×20, 12 image tiles from a single gastric biopsy slide.
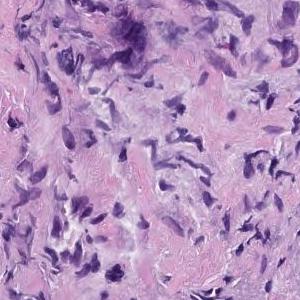
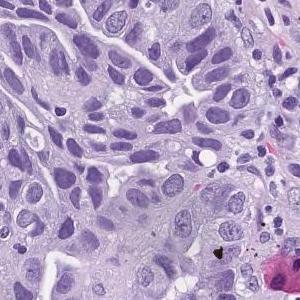
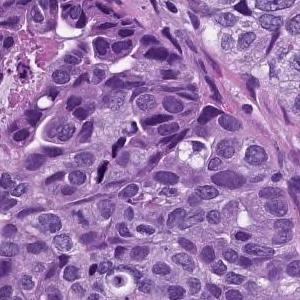
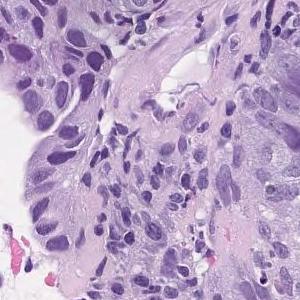
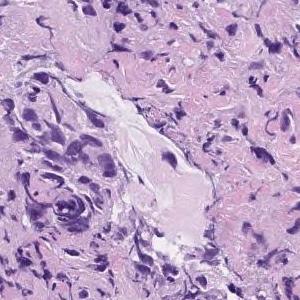
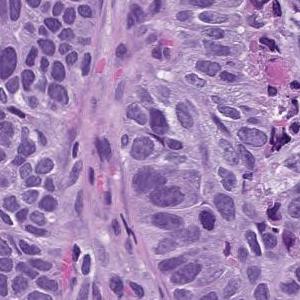
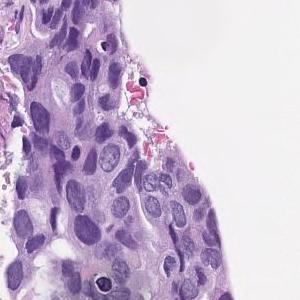
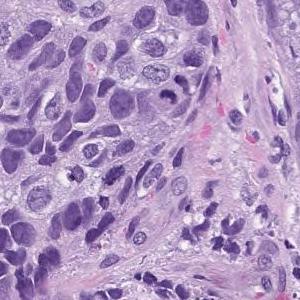
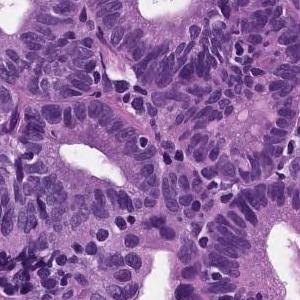
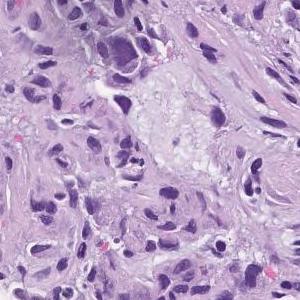
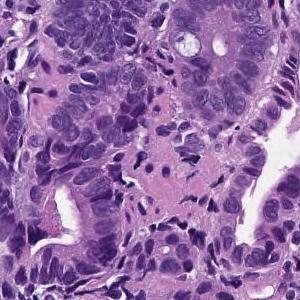
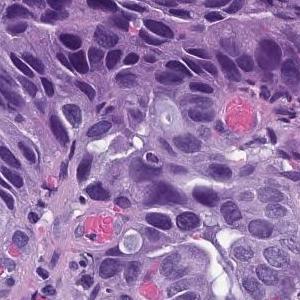
Pathology report for the slide these tiles were cut from. What the report and the diagnosis say applies to the whole slide; these tiles may miss some of the features named and may include tissue that is not tumor.
In the superficial epithelium, tumor tissue that invades by forming medium-sized to small, irregular ducts is observed. moderately differentiated tubular adenocarcinoma.
